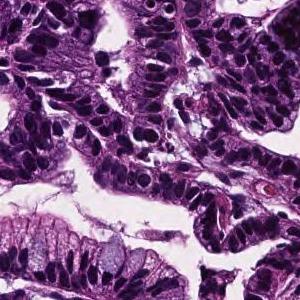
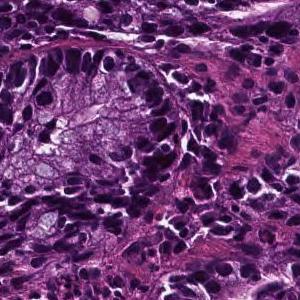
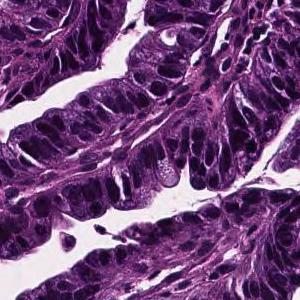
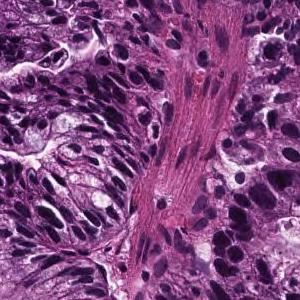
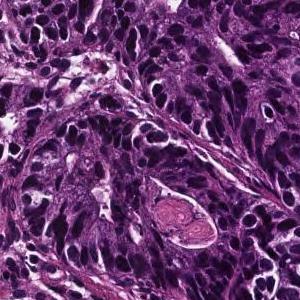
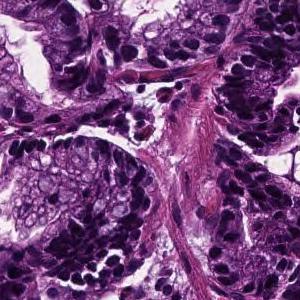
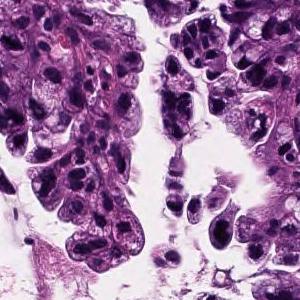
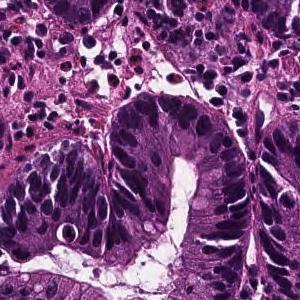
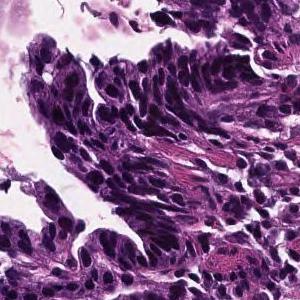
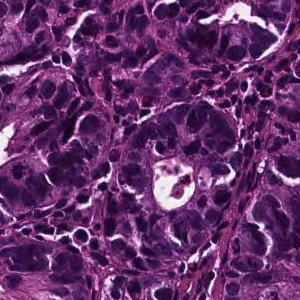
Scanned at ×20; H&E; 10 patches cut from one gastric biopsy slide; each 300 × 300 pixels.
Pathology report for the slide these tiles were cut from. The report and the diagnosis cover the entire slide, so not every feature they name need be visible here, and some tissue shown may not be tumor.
In the superficial epithelium, tumor tissue that invades by forming medium-sized to small, irregular ducts is observed. Well differentiated tubular adenocarcinoma.
